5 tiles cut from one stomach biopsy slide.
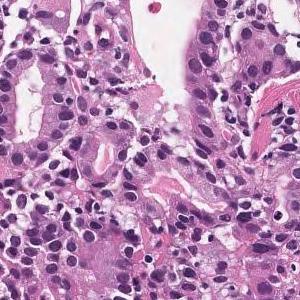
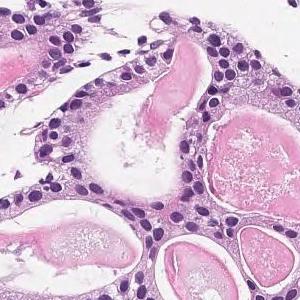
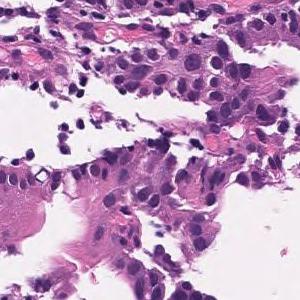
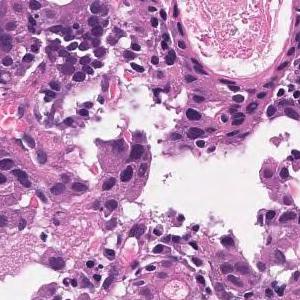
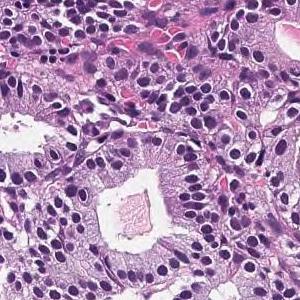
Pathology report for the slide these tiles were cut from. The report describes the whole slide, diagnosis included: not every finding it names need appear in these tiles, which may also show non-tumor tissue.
Medium to small, irregular glandular ducts are formed in the superficial epithelium, and in some cases, the glandular ducts are fused to show solid alveolar lesions and infiltrating tumor tissue is observed. Moderately to poorly differentiated adenocarcinoma.
